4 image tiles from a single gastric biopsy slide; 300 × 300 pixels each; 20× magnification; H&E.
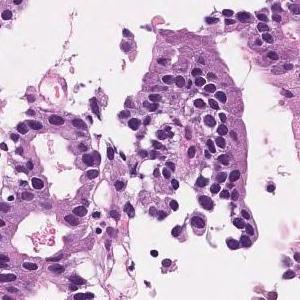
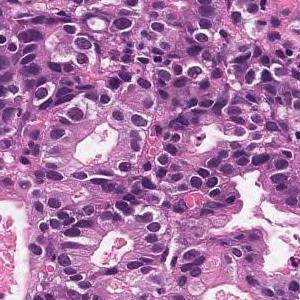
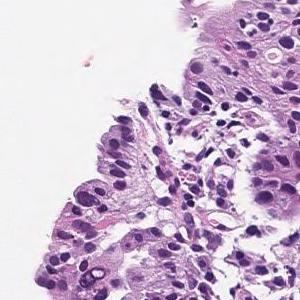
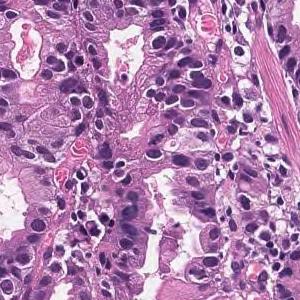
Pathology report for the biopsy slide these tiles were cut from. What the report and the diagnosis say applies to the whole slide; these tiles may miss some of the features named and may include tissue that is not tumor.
Medium to small, irregular glandular ducts are formed in the superficial epithelium, and in some cases, the glandular ducts are fused to show solid alveolar lesions and infiltrating tumor tissue is observed. Moderately to poorly differentiated adenocarcinoma.
